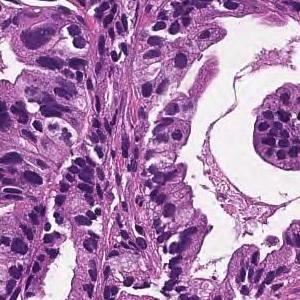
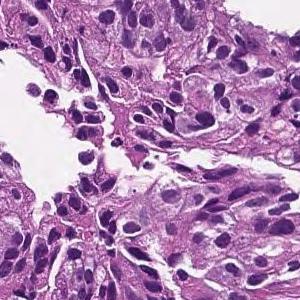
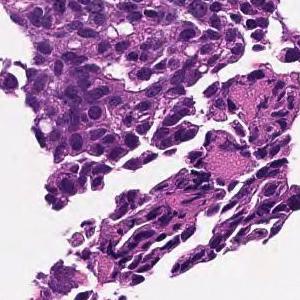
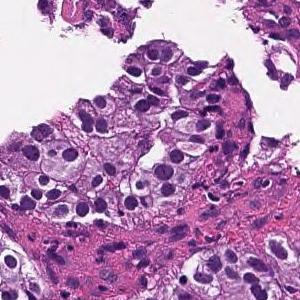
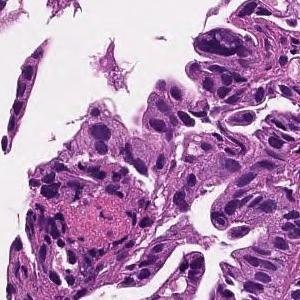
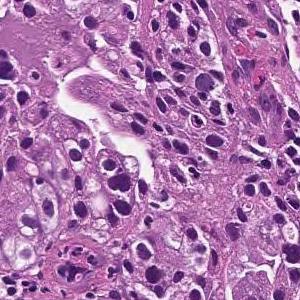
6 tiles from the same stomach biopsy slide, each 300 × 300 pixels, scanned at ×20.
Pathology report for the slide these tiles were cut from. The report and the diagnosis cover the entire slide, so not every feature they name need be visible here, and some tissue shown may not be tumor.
Medium to small, irregular glandular ducts are formed in the superficial epithelium, and in some cases, the glandular ducts are fused to show solid alveolar lesions and infiltrating tumor tissue is observed. Moderately to poorly differentiated adenocarcinoma.
